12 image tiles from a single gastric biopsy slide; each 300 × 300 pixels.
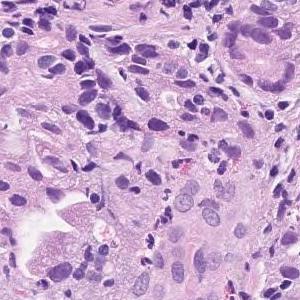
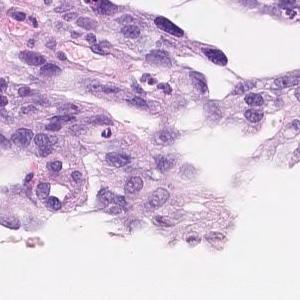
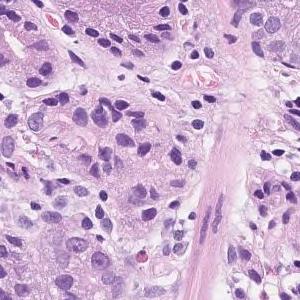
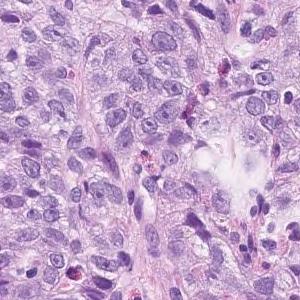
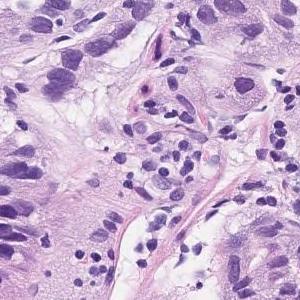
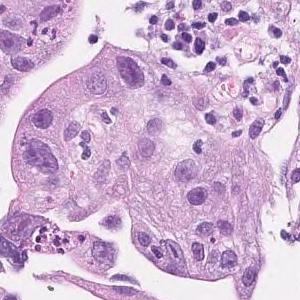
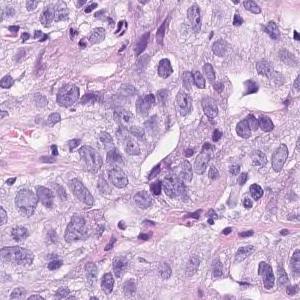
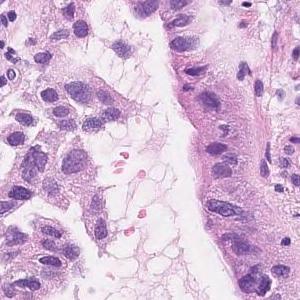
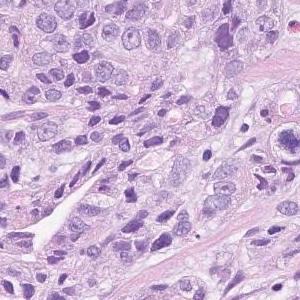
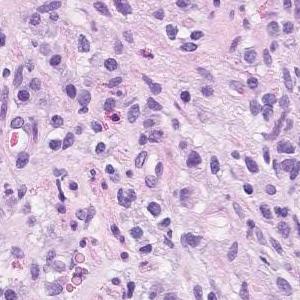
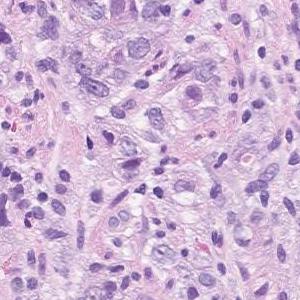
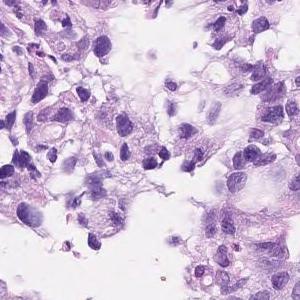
Pathology report for the slide these tiles were cut from. The report and the diagnosis cover the entire slide, so not every feature they name need be visible here, and some tissue shown may not be tumor.
In the superficial epithelium, tumor tissue that invades by forming medium-sized to small, irregular ducts is observed. Moderately to poorly differentiated adenocarcinoma
